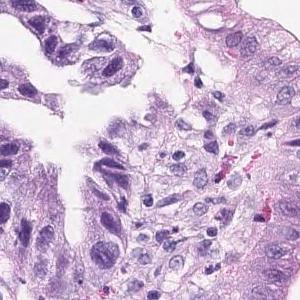
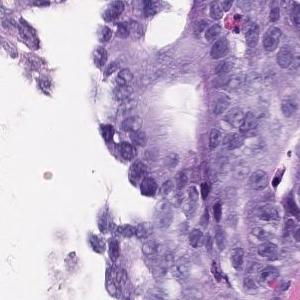
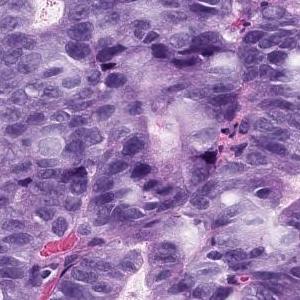
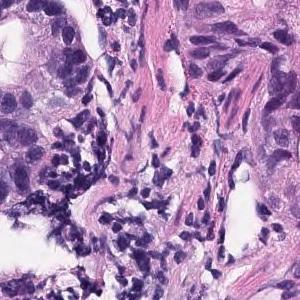
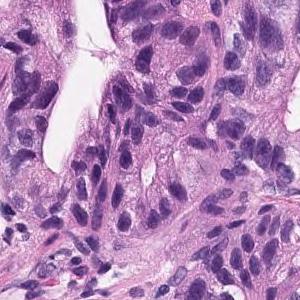
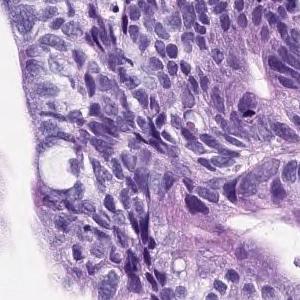
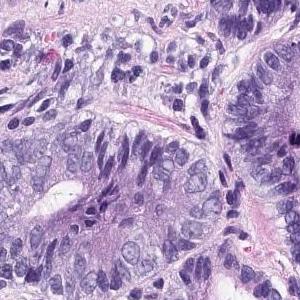
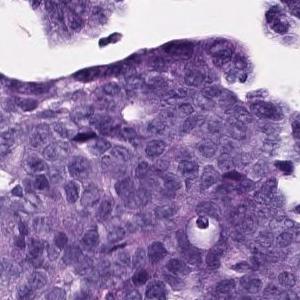
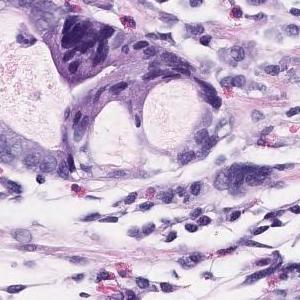
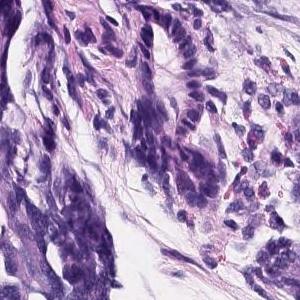
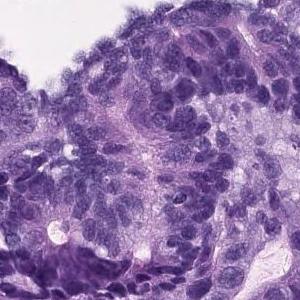
Hematoxylin and eosin stain · 20× magnification · 11 tiles cut from one stomach biopsy slide.
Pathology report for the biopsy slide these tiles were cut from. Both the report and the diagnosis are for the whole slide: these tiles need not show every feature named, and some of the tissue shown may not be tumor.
In the superficial epithelium, tumor tissue that invades by forming medium-sized to small, irregular ducts is observed. Well to moderately differentiated tubular adenocarcinoma.
